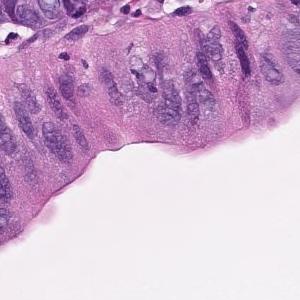
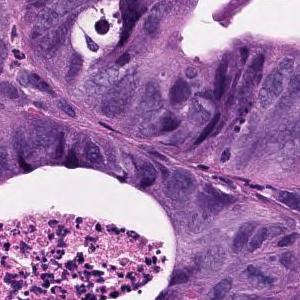
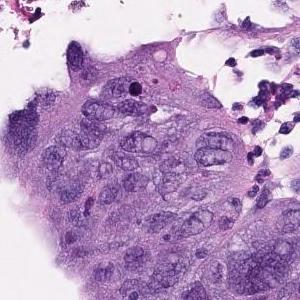
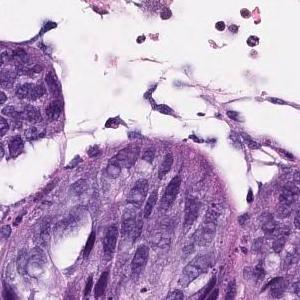
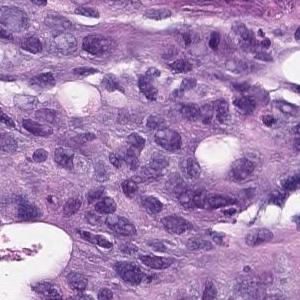
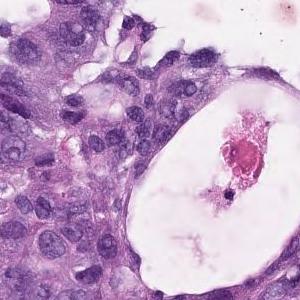
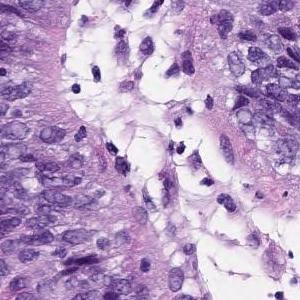
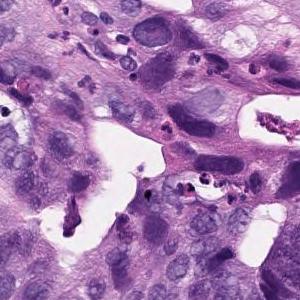
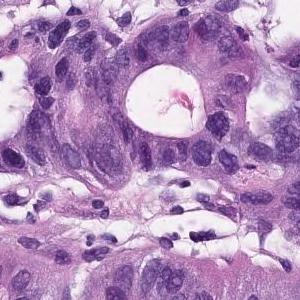
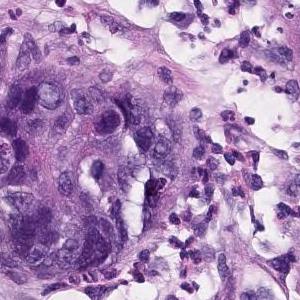
10 patches cut from one gastric biopsy slide, hematoxylin and eosin stain.
Pathology report for the biopsy slide these tiles were cut from. The report and the diagnosis describe the slide as a whole, so these tiles may not show every feature named and may include non-tumor tissue.
In the superficial epithelium, tumor tissue that invades by forming medium-sized to small, irregular ducts is observed. Moderately differentiated adenocarcinoma.
Histological subtype: Moderately differentiated tubular adenocarcinoma.
